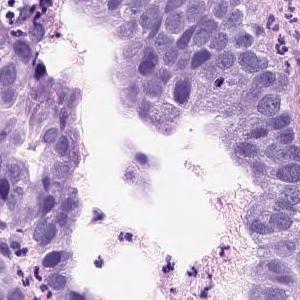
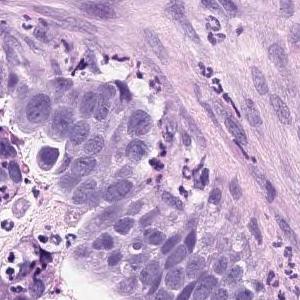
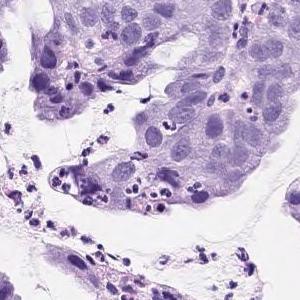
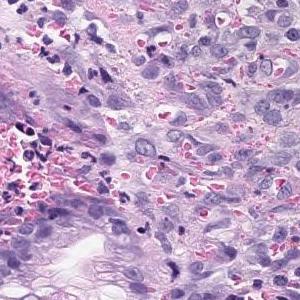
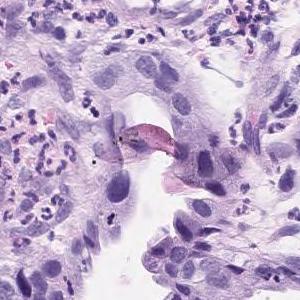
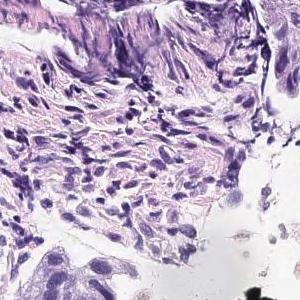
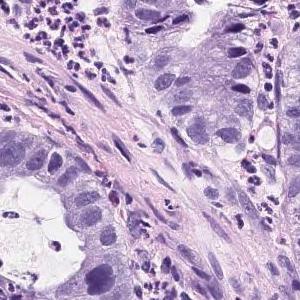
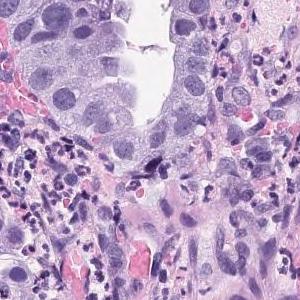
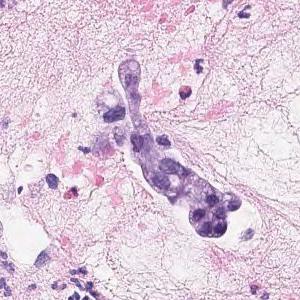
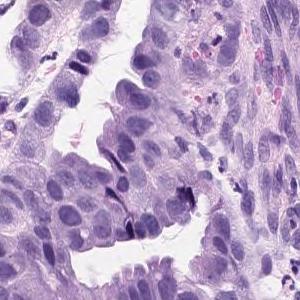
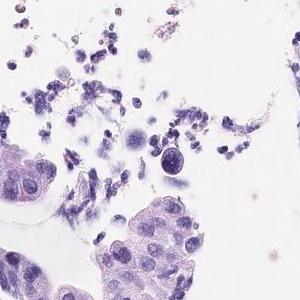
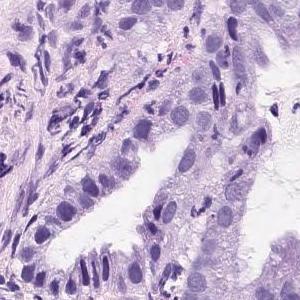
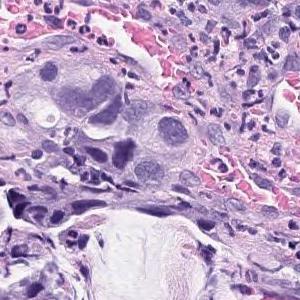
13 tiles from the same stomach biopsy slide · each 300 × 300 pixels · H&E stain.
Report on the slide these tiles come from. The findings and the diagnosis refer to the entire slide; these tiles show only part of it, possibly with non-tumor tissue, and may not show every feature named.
Atypical l cells with atypical nuclei forming solid or diffuse vesicles or small irregular atypical ducts and growing in a complex manner. Well differentiated tubular adenocarcinoma
